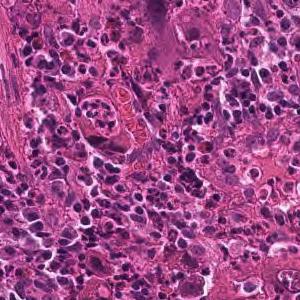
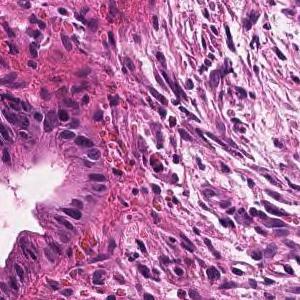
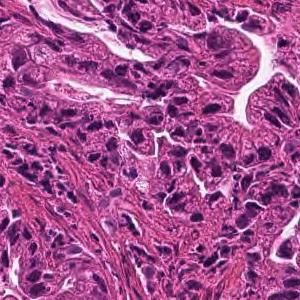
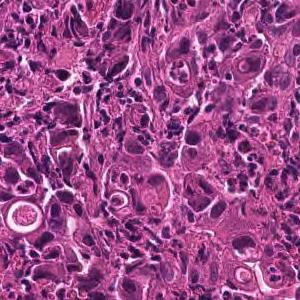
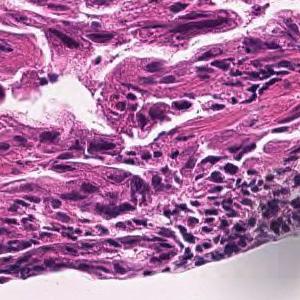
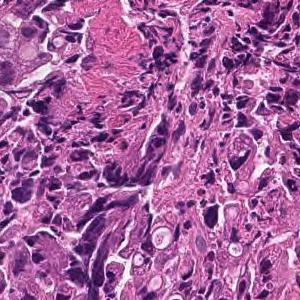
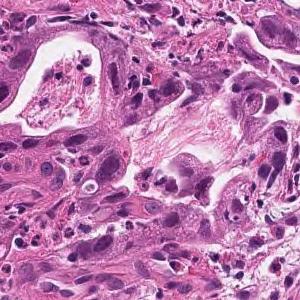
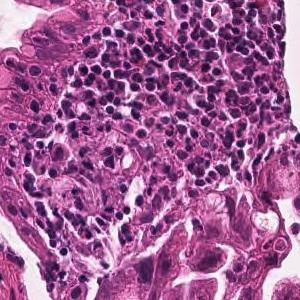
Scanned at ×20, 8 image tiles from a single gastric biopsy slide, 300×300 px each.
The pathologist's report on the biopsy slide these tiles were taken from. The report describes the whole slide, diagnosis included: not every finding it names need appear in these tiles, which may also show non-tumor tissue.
Medium to small, irregular glandular ducts are formed in the superficial epithelium, and in some cases, the glandular ducts are fused to show solid alveolar lesions and infiltrating tumor tissue is observed. Moderately to poorly differentiated adenocarcinoma.
